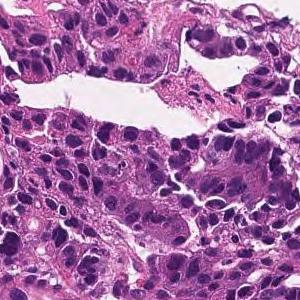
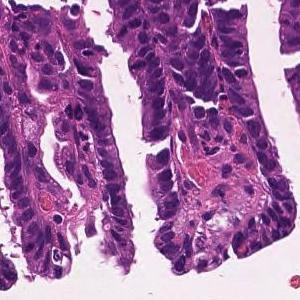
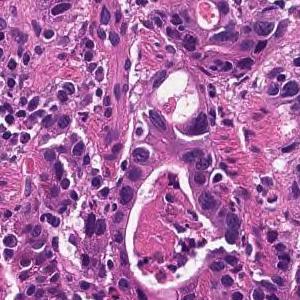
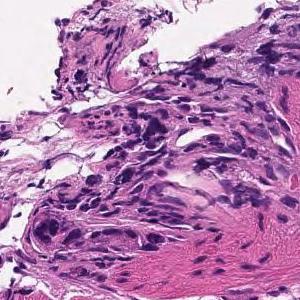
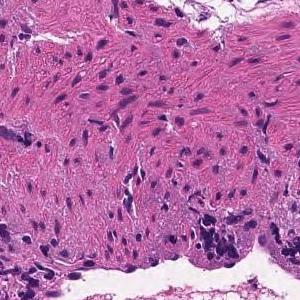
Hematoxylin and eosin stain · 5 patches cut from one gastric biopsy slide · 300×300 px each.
Pathology report for the slide these tiles were cut from. Both the report and the diagnosis are for the whole slide: these tiles need not show every feature named, and some of the tissue shown may not be tumor.
In the superficial epithelium, tumor tissue that invades by forming medium-sized to small, irregular ducts is observed. moderately differentiated tubular adenocarcinoma.
